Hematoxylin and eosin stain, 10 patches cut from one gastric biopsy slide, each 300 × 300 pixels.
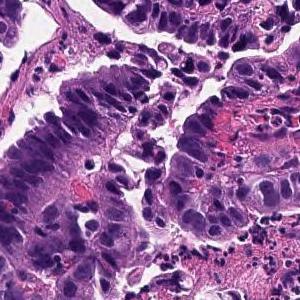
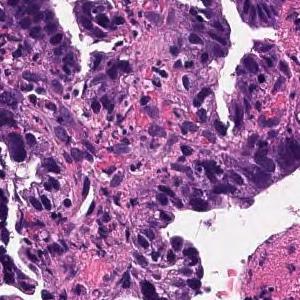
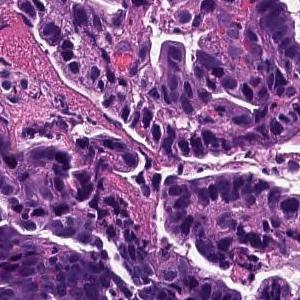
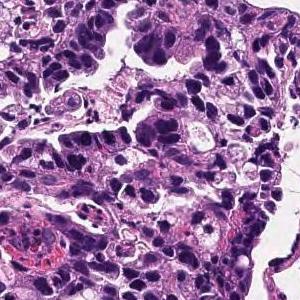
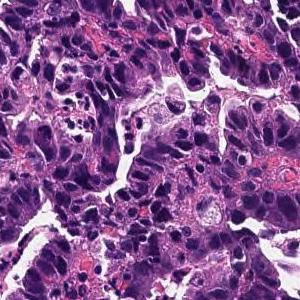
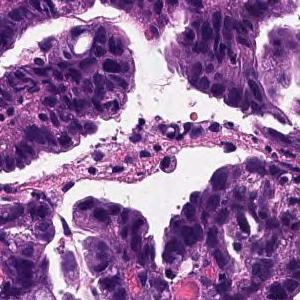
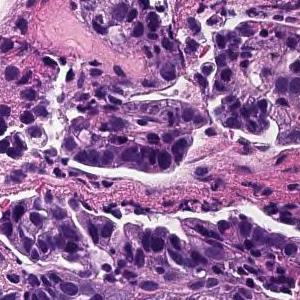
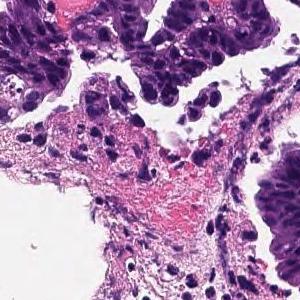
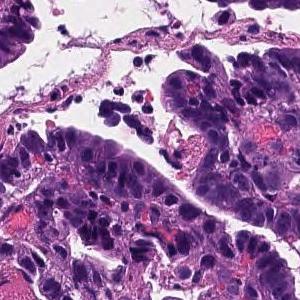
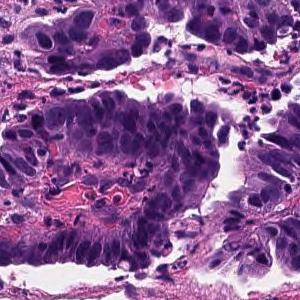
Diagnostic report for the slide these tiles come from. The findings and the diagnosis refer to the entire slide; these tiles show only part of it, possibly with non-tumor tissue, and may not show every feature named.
Infiltrating tumor tissue is observed in the superficial epithelium, showing large papillary structures or large and small ducts. Papillary adenocarcinoma
